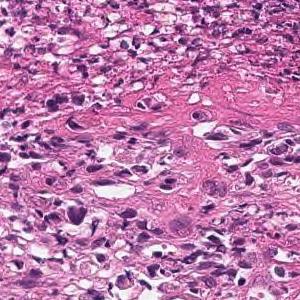
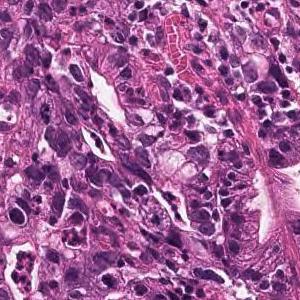
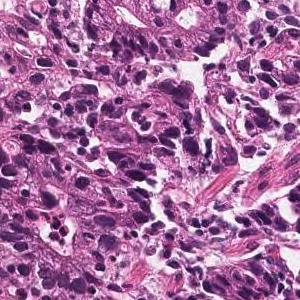
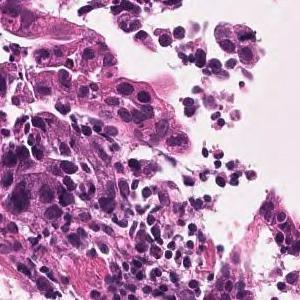
4 patches cut from one gastric biopsy slide · scanned at ×20 · H&E.
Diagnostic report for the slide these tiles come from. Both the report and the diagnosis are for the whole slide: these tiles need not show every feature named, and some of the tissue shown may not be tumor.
In the superficial epithelium, tumor tissue that invades by forming medium-sized to small, irregular ducts is observed. Moderately differentiated adenocarcinoma.
Classified as moderately differentiated tubular adenocarcinoma.
